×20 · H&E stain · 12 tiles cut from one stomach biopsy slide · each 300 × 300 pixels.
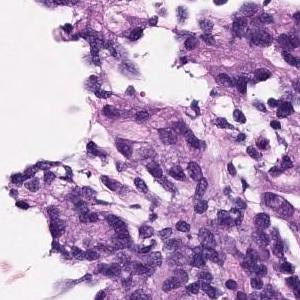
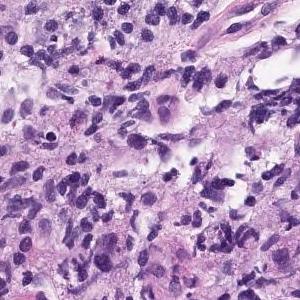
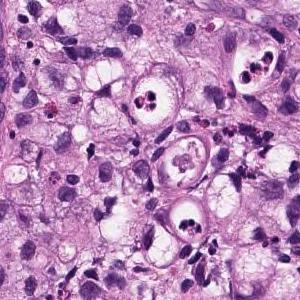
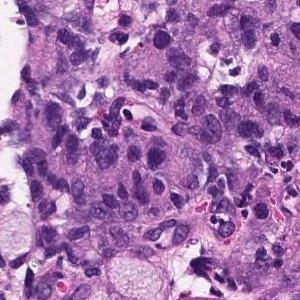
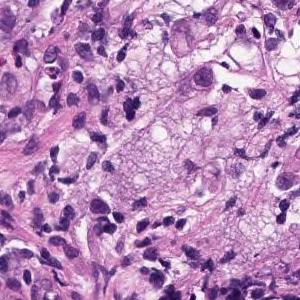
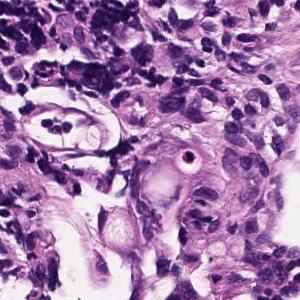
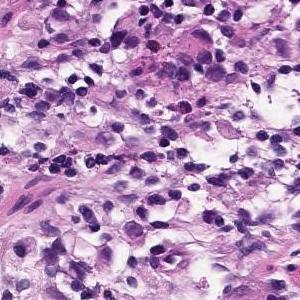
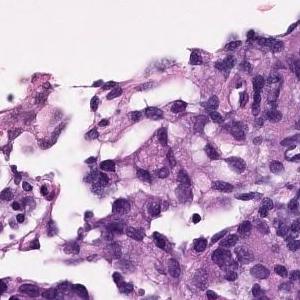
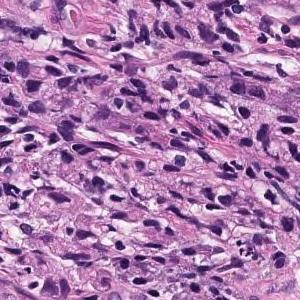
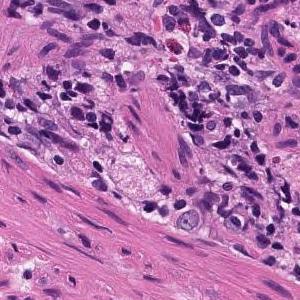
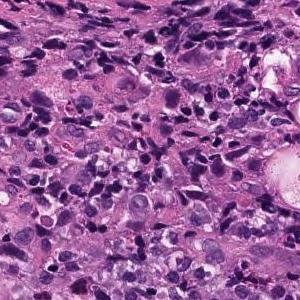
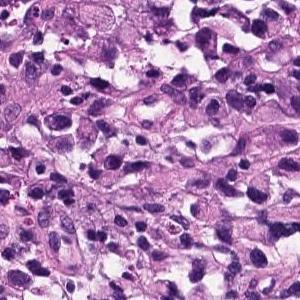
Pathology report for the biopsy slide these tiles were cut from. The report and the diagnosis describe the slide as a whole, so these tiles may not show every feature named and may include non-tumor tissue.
Atypical epithelium forms irregularly fused gland ducts and proliferates. Poorly differentiated adenocarcinoma.
Subtype: Poorly differentiated adenocarcinoma, non-solid type.
The term "non-solid type" comes from the Japanese Classification of Gastric Carcinoma.
